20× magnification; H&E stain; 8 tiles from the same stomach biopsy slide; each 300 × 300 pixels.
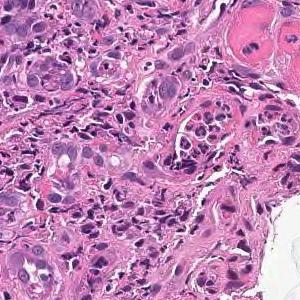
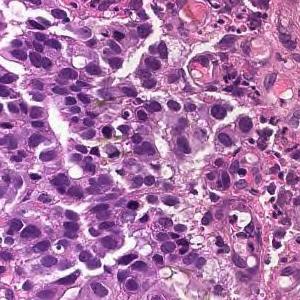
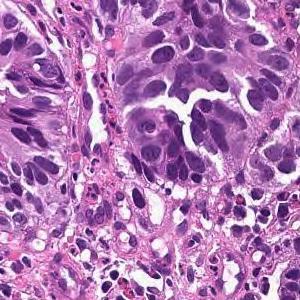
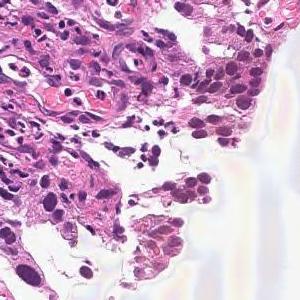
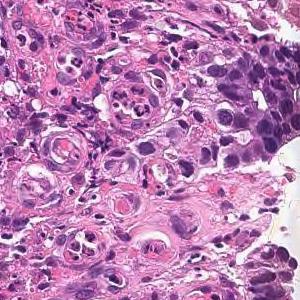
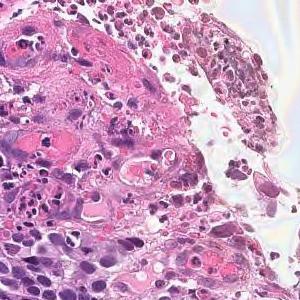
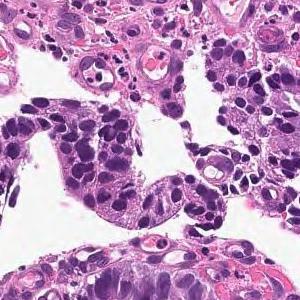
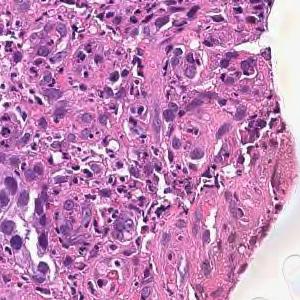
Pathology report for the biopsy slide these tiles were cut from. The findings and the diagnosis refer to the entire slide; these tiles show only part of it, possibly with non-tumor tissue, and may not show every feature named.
On the superficial epithelium, tumor tissue consisting of large irregular glandular ducts partially fused and infiltrated is observed. Well to moderately differentiated tubular adenocarcinoma (well differentiated tubular adenocarcinoma, moderately differentiated tubular adenocarcinoma)
Subtype: Well to moderately differentiated tubular adenocarcinoma.
